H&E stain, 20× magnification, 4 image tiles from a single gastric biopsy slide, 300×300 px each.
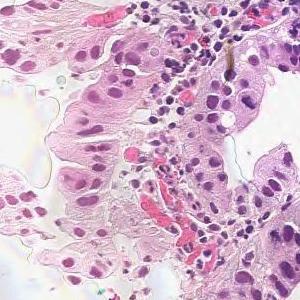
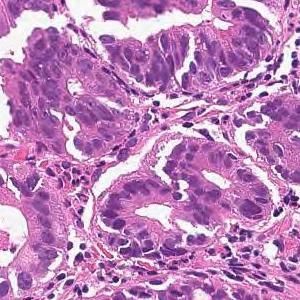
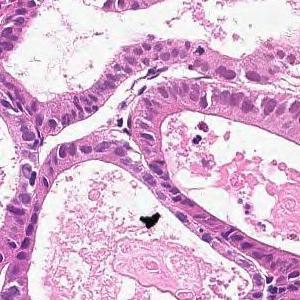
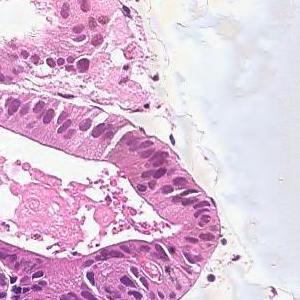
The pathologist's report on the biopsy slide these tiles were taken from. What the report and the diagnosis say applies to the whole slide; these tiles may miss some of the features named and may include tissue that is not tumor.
From the superficial epithelium to the muscularis mucosae, tumor tissue consisting of medium-sized and irregular glandular ducts infiltrating is observed. Well differentiated tubular adenocarcinoma
